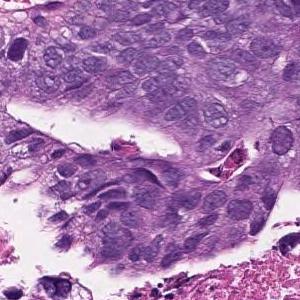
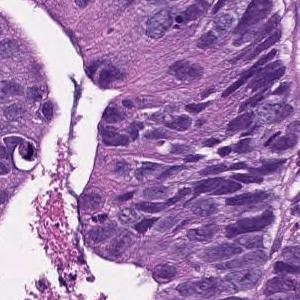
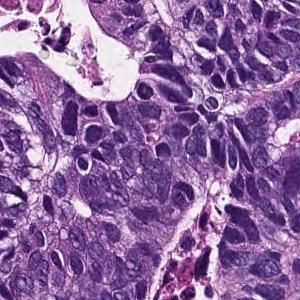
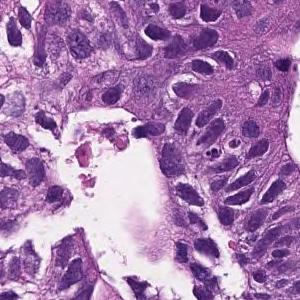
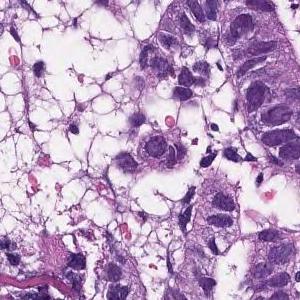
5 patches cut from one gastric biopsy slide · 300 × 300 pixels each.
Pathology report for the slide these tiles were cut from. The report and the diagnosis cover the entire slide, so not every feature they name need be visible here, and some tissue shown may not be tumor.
In the superficial epithelium, tumor tissue that invades by forming medium-sized to small, irregular ducts is observed. moderately differentiated tubular adenocarcinoma.
